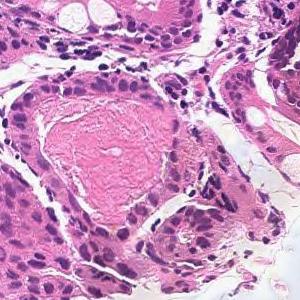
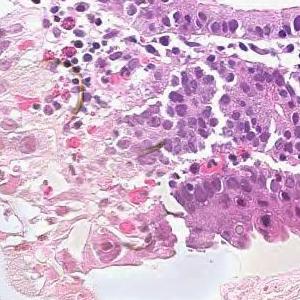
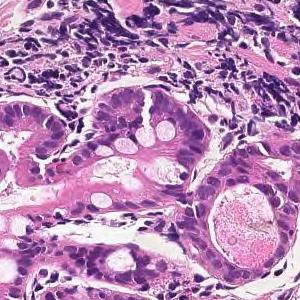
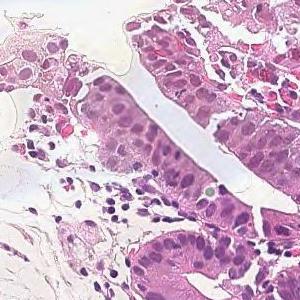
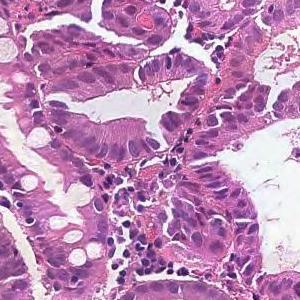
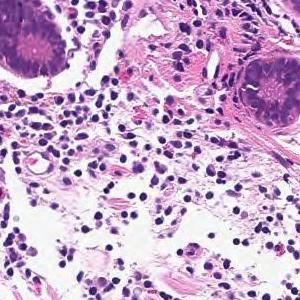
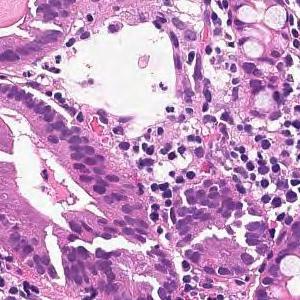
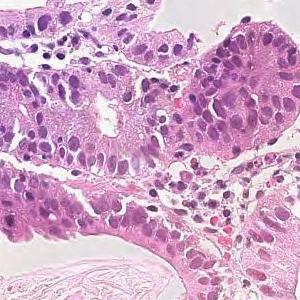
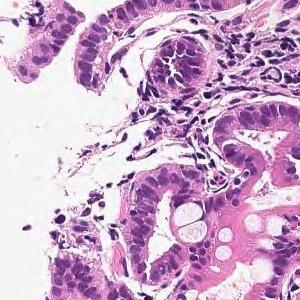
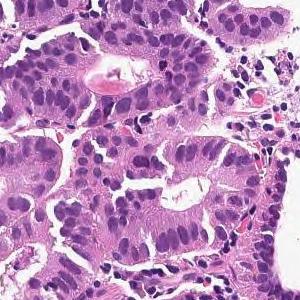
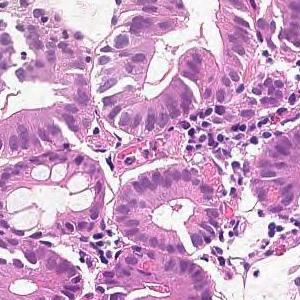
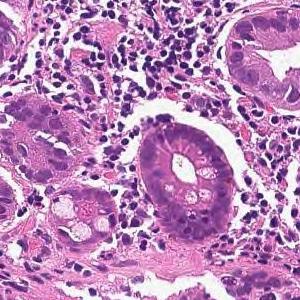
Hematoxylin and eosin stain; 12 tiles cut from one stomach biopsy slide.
The pathologist's report on the biopsy slide these tiles were taken from. The report and the diagnosis cover the entire slide, so not every feature they name need be visible here, and some tissue shown may not be tumor.
From the superficial epithelium to the muscularis mucosae, tumor tissue consisting of medium-sized and irregular glandular ducts infiltrating is observed. Well differentiated tubular adenocarcinoma
